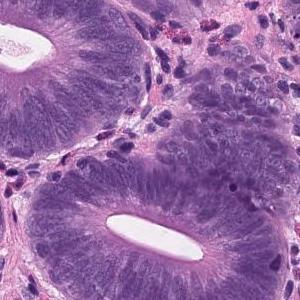
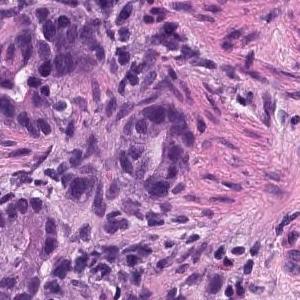
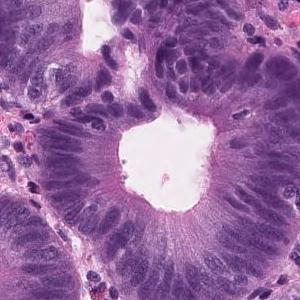
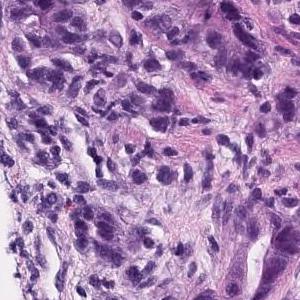
4 tiles from the same stomach biopsy slide; 300×300 px each.
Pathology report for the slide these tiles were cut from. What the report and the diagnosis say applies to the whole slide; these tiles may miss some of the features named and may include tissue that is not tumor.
On the superficial epithelium, tumor tissue with densely growing medium to large, round tubules is observed. Tumor cells are highly columnar, with nuclei aligned basolaterally and polarized. Well differentiated tubular adenocarcinoma
